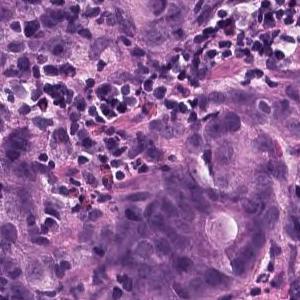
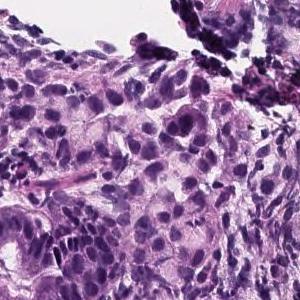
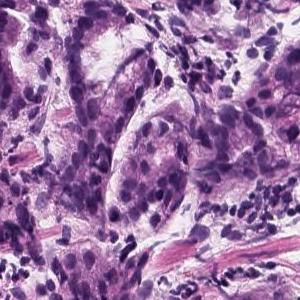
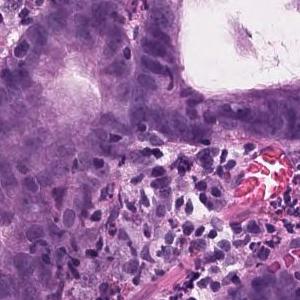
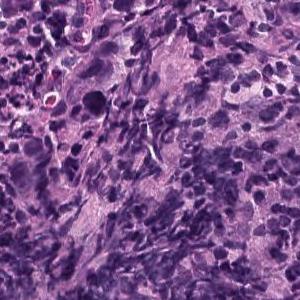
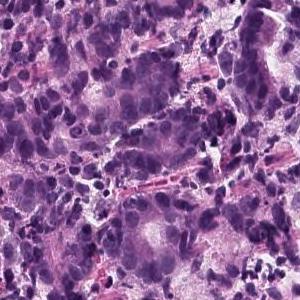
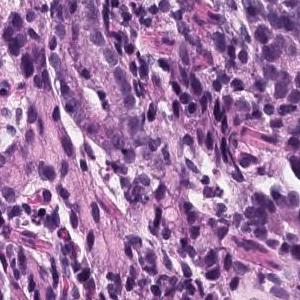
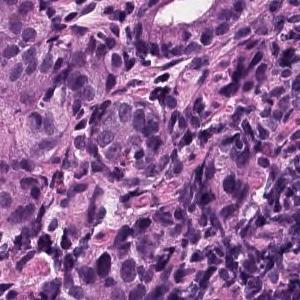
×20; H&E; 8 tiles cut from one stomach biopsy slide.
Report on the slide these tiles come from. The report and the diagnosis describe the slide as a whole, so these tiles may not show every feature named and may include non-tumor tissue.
In the superficial epithelium, tumor tissue that invades by forming medium-sized to small, irregular ducts is observed. Moderately differentiated adenocarcinoma.
Histological subtype: Moderately differentiated tubular adenocarcinoma.
